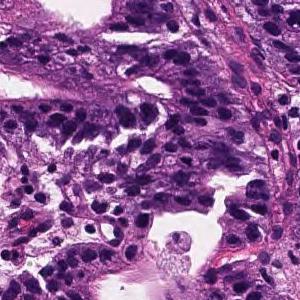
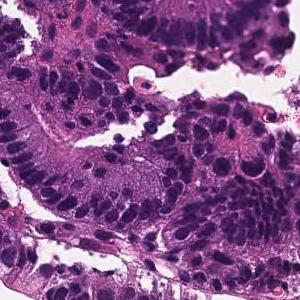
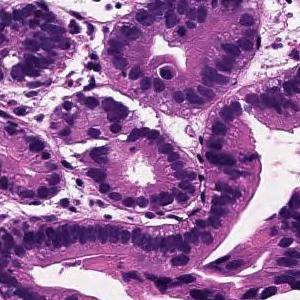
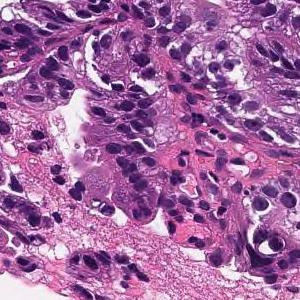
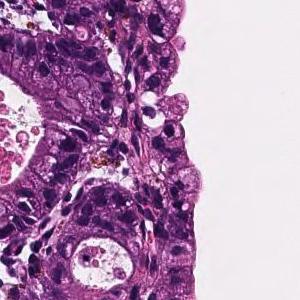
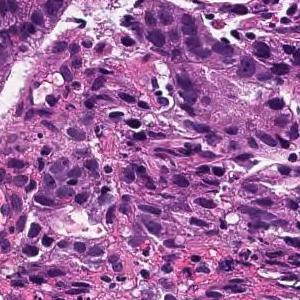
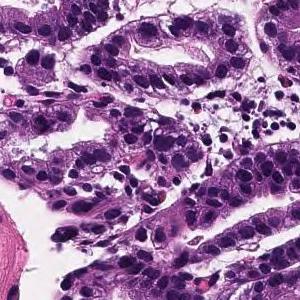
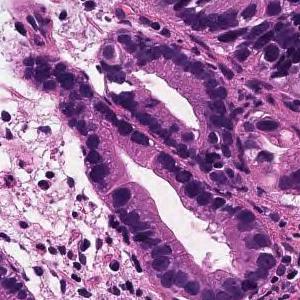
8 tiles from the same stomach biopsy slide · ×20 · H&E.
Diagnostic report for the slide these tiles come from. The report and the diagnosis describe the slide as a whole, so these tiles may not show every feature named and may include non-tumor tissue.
From the superficial epithelium to the muscularis mucosae, tumor tissue consisting of medium-sized and irregular glandular ducts infiltrating is observed. Well differentiated tubular adenocarcinoma
